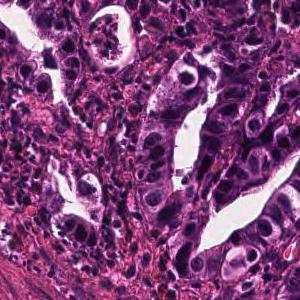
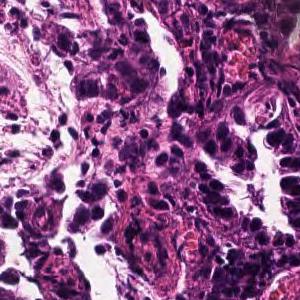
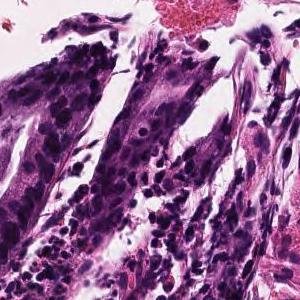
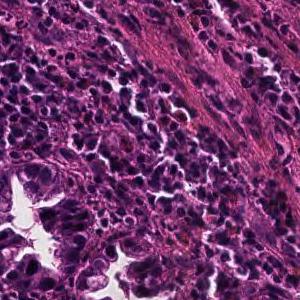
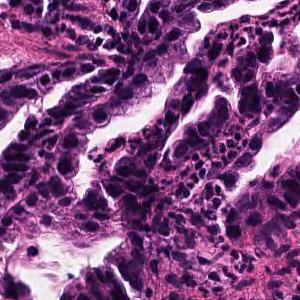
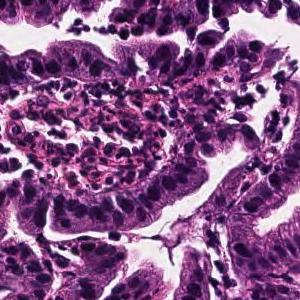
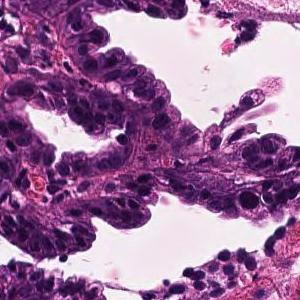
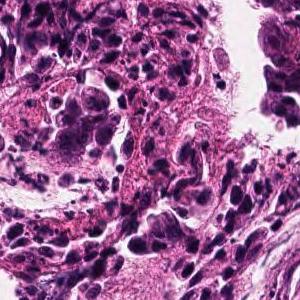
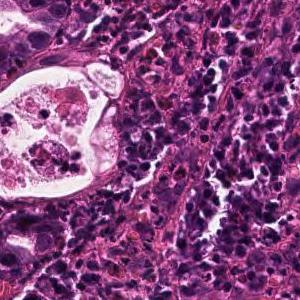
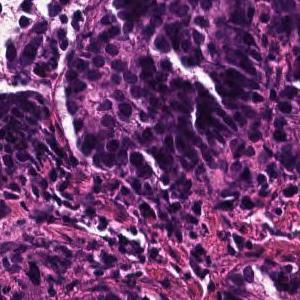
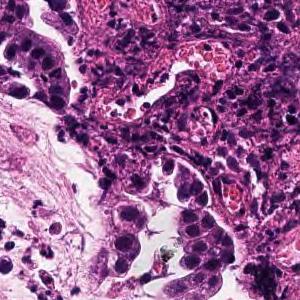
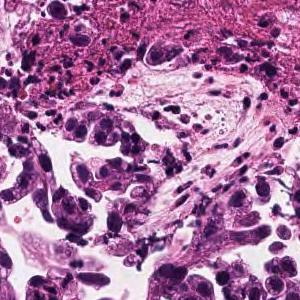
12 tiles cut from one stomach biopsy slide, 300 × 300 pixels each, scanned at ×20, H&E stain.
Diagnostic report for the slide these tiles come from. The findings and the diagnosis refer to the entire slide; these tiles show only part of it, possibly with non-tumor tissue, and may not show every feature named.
Tumor tissue consisting of large papillary structures is found in the superficial epithelium. Papillary adenocarcinoma.
